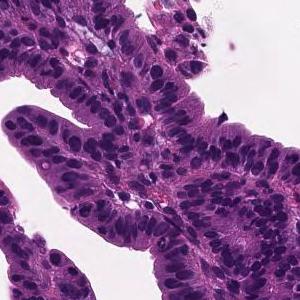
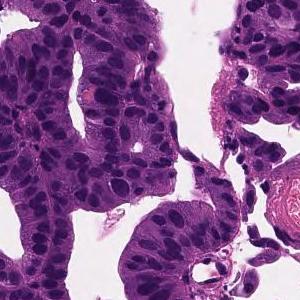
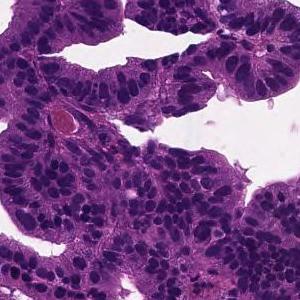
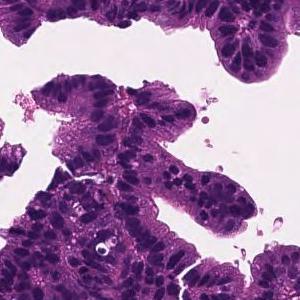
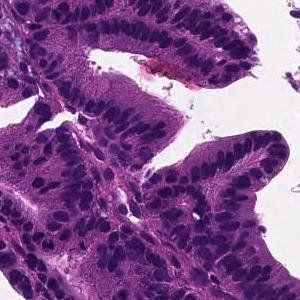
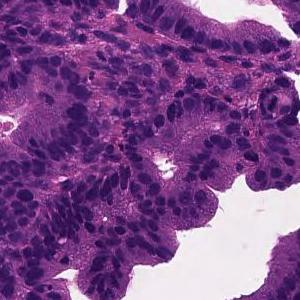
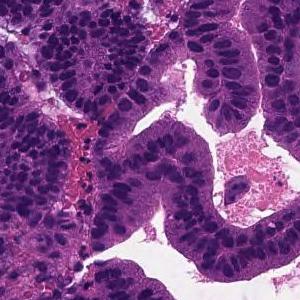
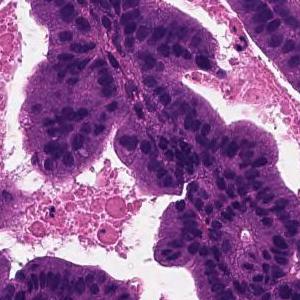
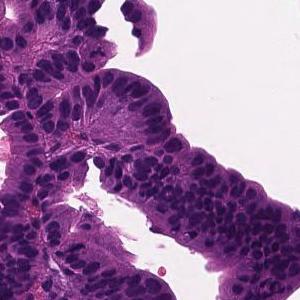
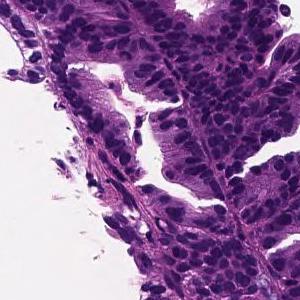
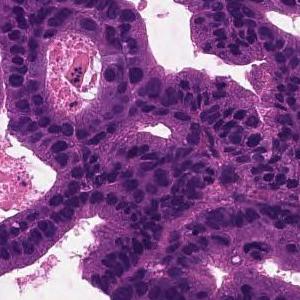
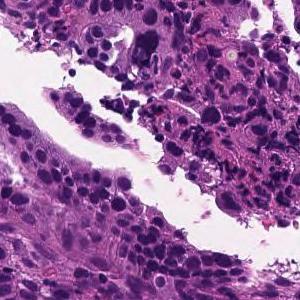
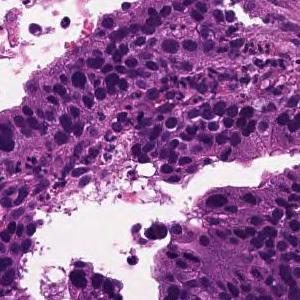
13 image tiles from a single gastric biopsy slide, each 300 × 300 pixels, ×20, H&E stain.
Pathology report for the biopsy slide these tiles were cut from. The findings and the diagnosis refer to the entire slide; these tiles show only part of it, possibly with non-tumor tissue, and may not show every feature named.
Tumor cells are large, highly columnar, large club-shaped nuclei, and are associated with chromatin aggregation. Papillary adenocarcinoma.
